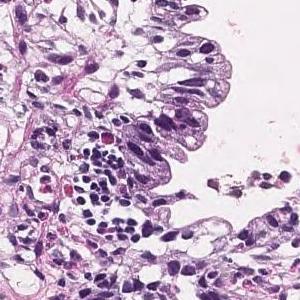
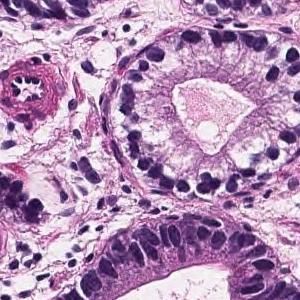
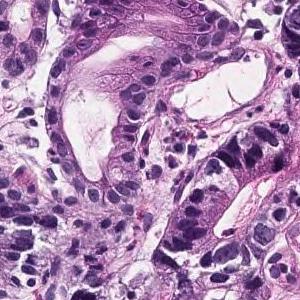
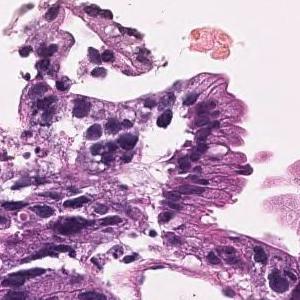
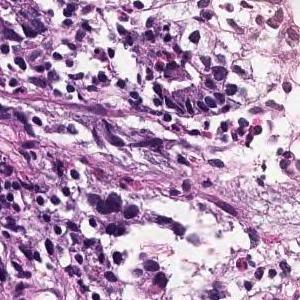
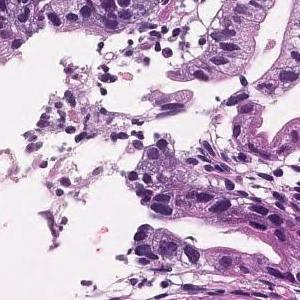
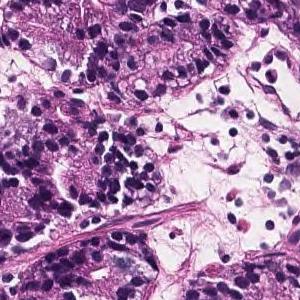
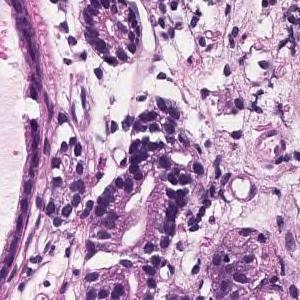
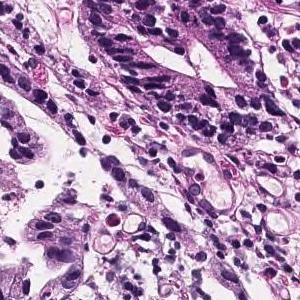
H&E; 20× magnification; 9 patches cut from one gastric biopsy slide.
Report on the slide these tiles come from. The report and the diagnosis describe the slide as a whole, so these tiles may not show every feature named and may include non-tumor tissue.
Tumor tissue consisting of medium-sized and irregular ducts is observed infiltrating in the superficial epithelium. Tumor cells are highly columnar, with nuclei aligned basolaterally and polarized. Well differentiated tubular adenocarcinoma.
